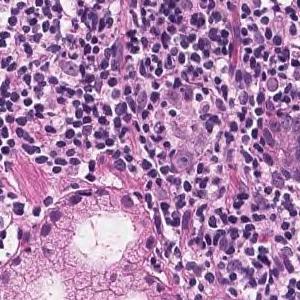
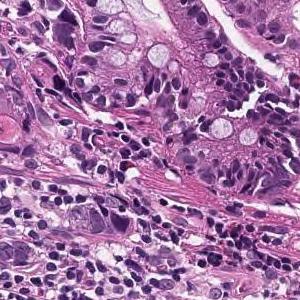
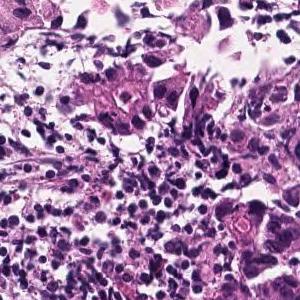
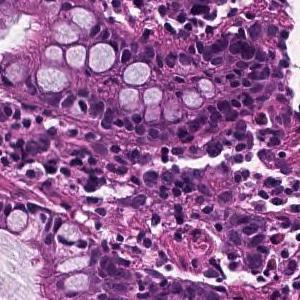
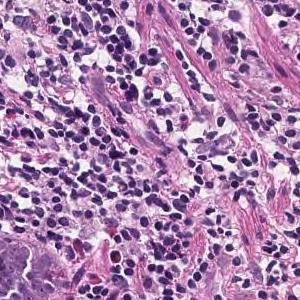
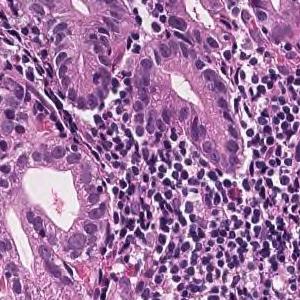
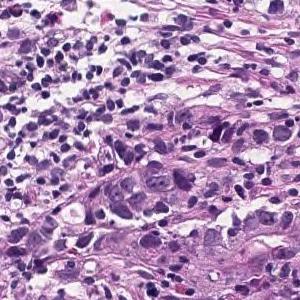
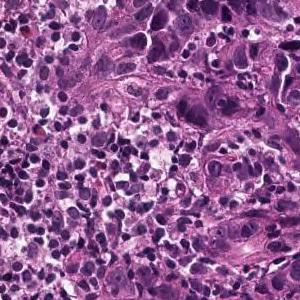
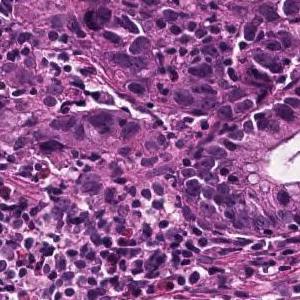
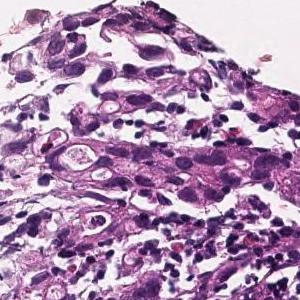
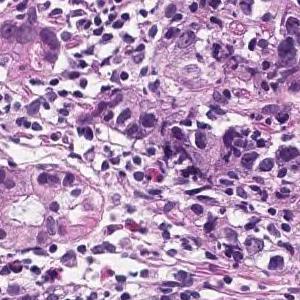
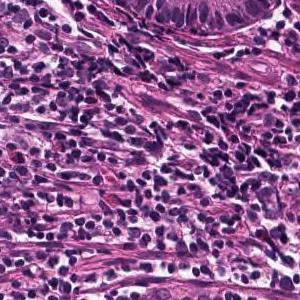
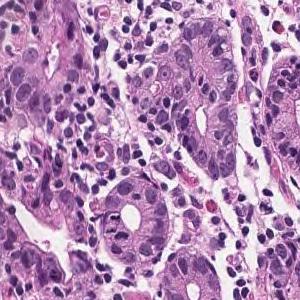
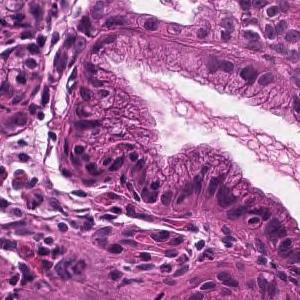
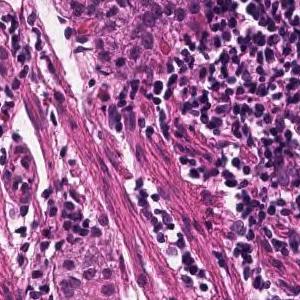
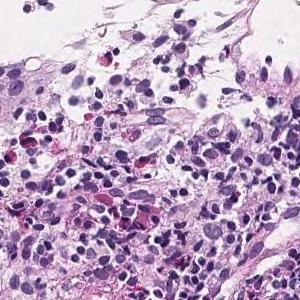
16 tiles cut from one stomach biopsy slide · 300 × 300 pixels each · scanned at ×20 · H&E.
The pathologist's report on the biopsy slide these tiles were taken from. The report and the diagnosis cover the entire slide, so not every feature they name need be visible here, and some tissue shown may not be tumor.
Tumor tissue consisting of medium-sized, cord-like or irregular glandular infiltration is observed in the superficial epithelium. Poorly differentiated adenocarcinoma, non-solid type or moderately differentiated tubular adenocarcinoma
Subtype: Moderately to poorly differentiated adenocarcinoma.
The term "non-solid type" comes from the Japanese Classification of Gastric Carcinoma.
